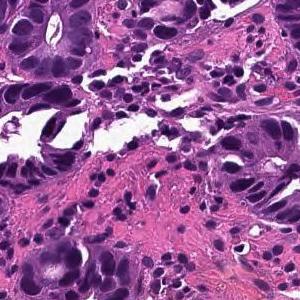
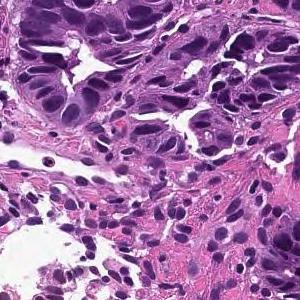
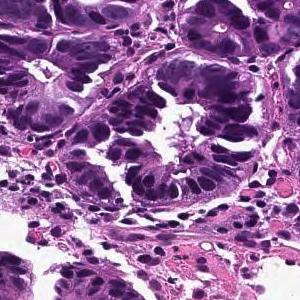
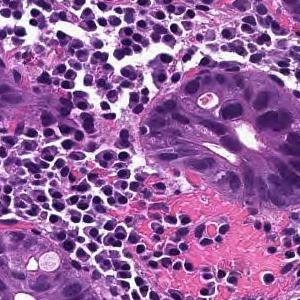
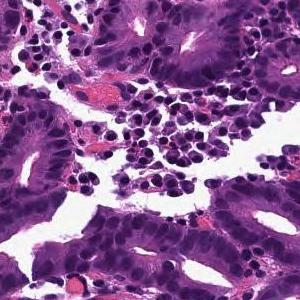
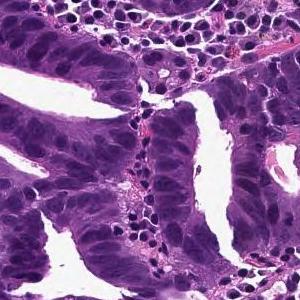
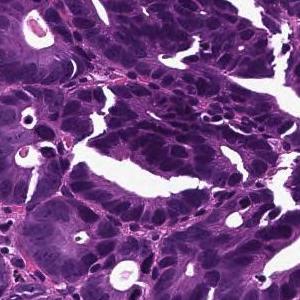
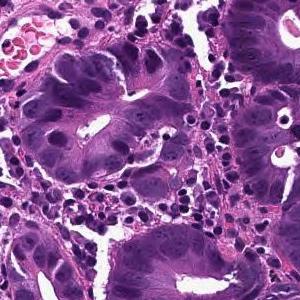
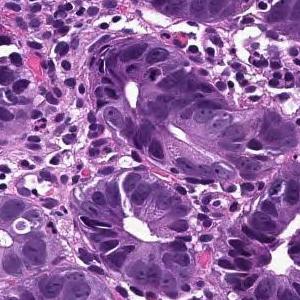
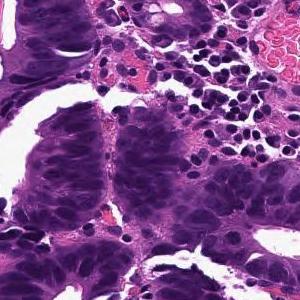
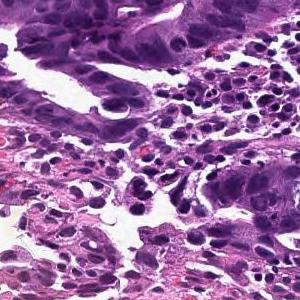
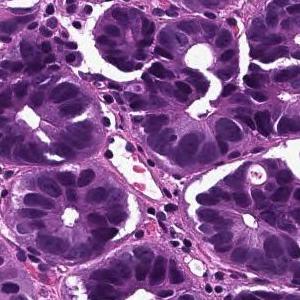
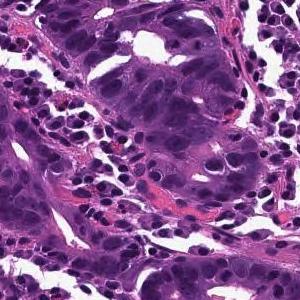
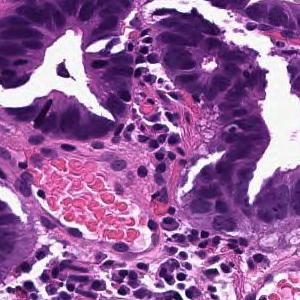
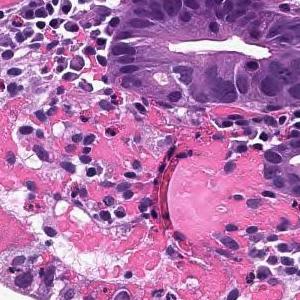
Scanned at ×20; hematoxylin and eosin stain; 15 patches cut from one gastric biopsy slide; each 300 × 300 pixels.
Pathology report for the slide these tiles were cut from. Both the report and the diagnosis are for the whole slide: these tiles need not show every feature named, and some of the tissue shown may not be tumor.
From the superficial epithelium to the muscularis mucosae, tumor tissue consisting of medium-sized and irregular glandular ducts infiltrating is observed. Well differentiated tubular adenocarcinoma
